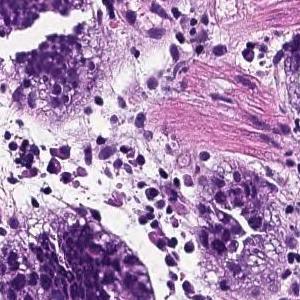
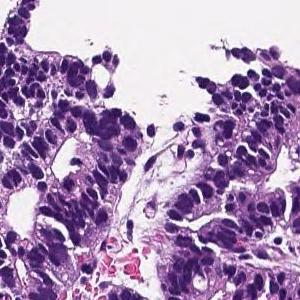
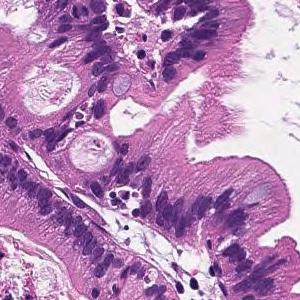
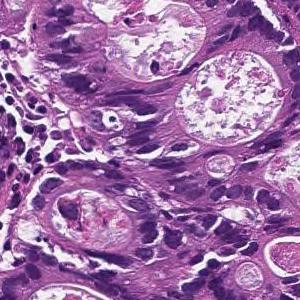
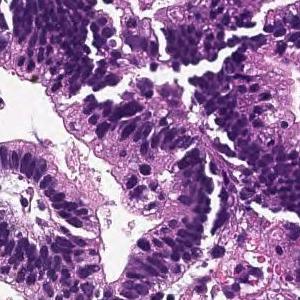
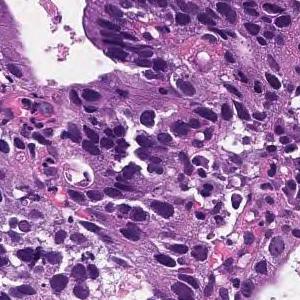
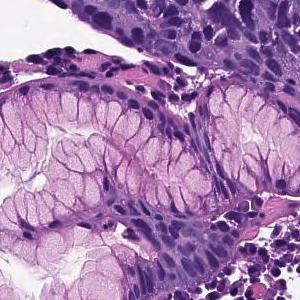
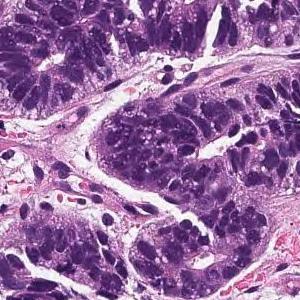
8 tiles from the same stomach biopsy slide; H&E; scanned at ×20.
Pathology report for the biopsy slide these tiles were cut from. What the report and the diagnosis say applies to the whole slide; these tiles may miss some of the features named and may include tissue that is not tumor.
In the superficial epithelium, tumor tissue that invades by forming medium-sized to small, irregular ducts is observed. moderately differentiated tubular adenocarcinoma.
